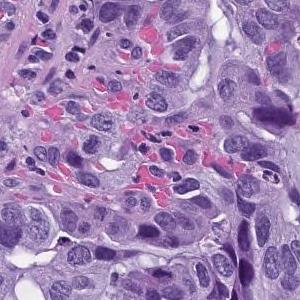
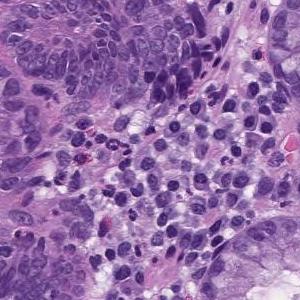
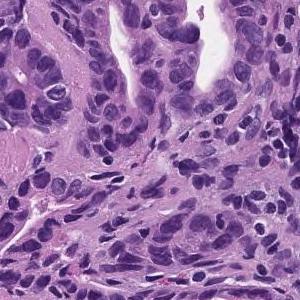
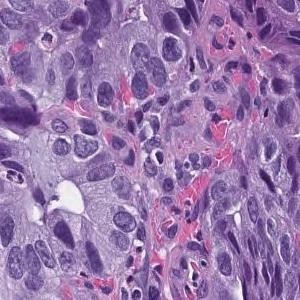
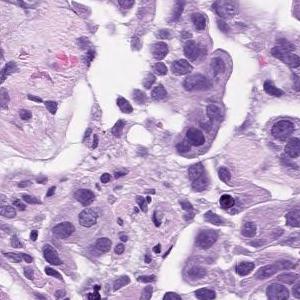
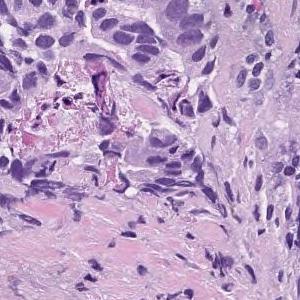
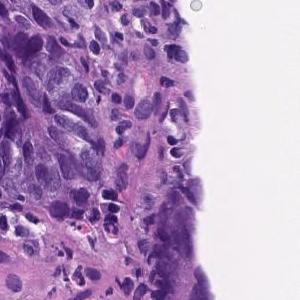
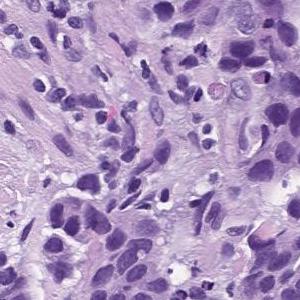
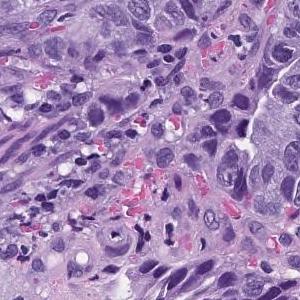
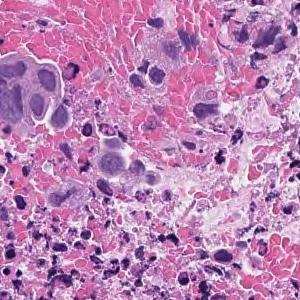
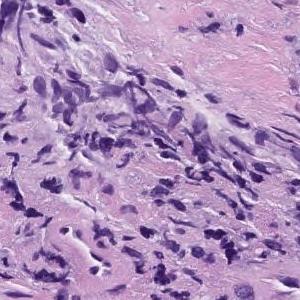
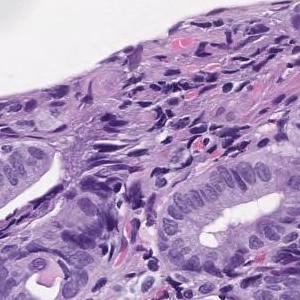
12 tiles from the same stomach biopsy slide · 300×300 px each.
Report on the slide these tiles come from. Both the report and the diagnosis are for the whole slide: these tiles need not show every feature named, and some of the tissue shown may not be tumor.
In the superficial epithelium, tumor tissue that invades by forming medium-sized to small, irregular ducts is observed. moderately differentiated tubular adenocarcinoma.
